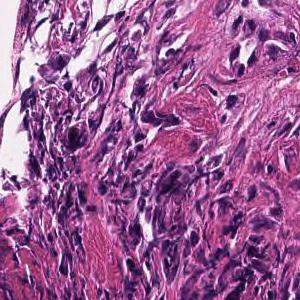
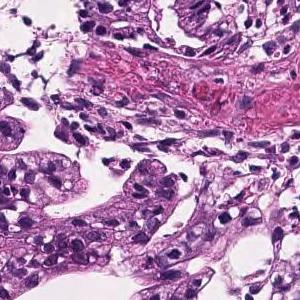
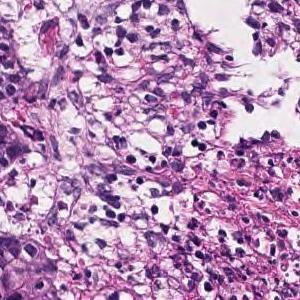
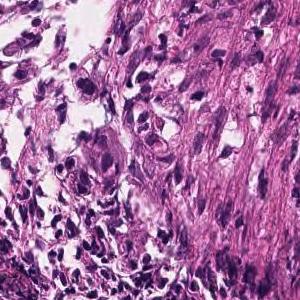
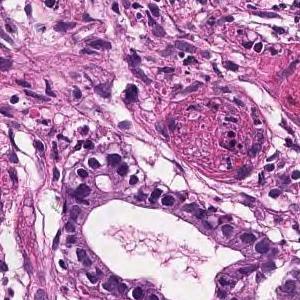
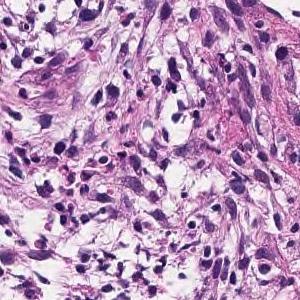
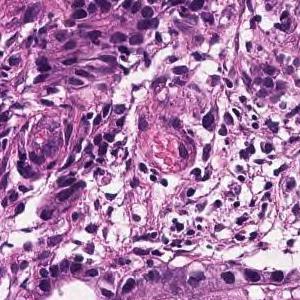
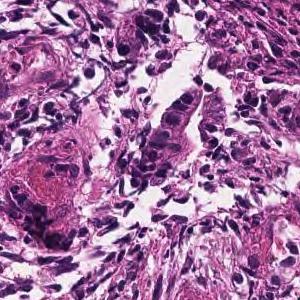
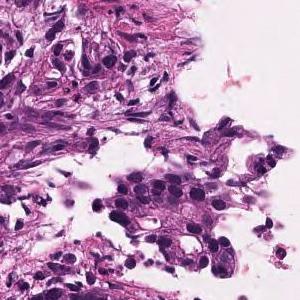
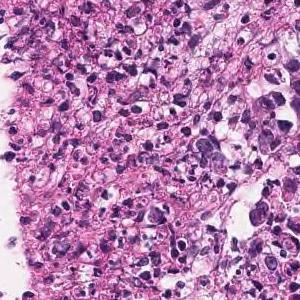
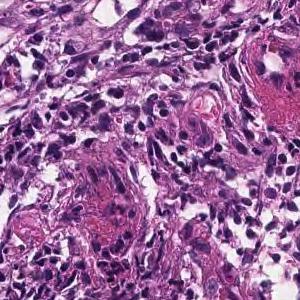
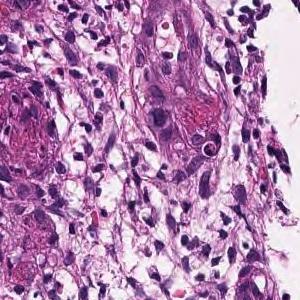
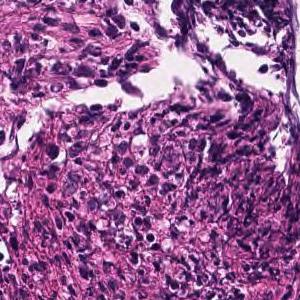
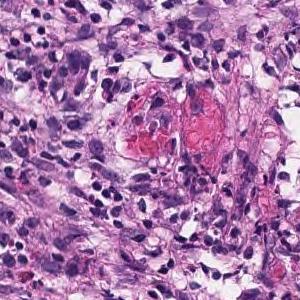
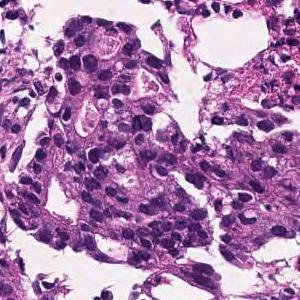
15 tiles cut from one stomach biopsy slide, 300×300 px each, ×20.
Report on the slide these tiles come from. The report describes the whole slide, diagnosis included: not every finding it names need appear in these tiles, which may also show non-tumor tissue.
In the superficial epithelium, medium to small, irregular gland ducts are formed, and in some cases, the gland ducts are fused to show solid alveolar lesions and infiltrating tumor tissue is observed. Moderately to poorly differentiated adenocarcinoma.
